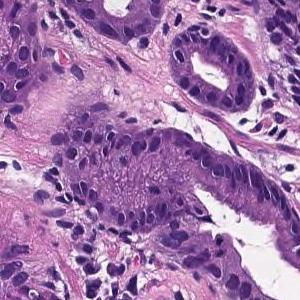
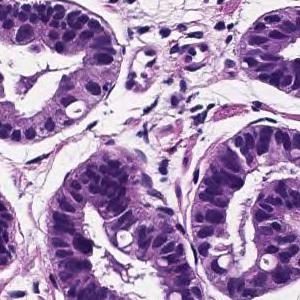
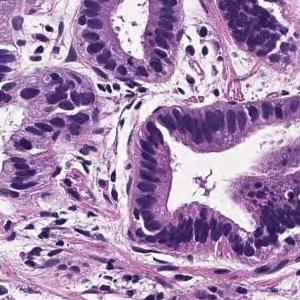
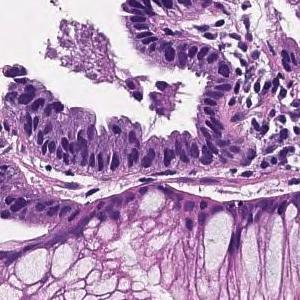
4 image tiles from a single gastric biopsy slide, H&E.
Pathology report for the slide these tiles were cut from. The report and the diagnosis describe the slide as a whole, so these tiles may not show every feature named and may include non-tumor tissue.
Tumor cells are large, highly columnar, large club-shaped nuclei, and are associated with chromatin aggregation. Papillary adenocarcinoma.
